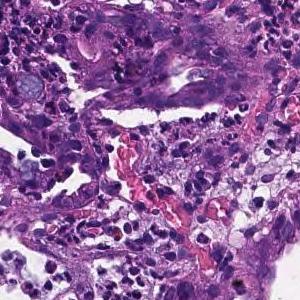
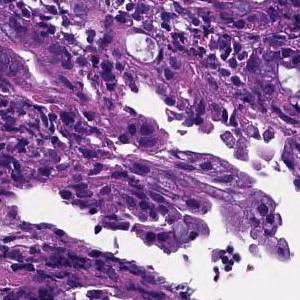
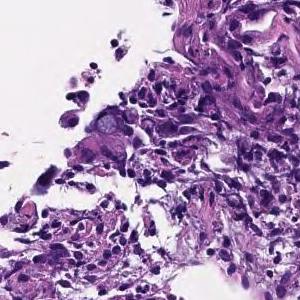
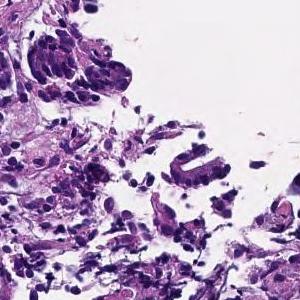
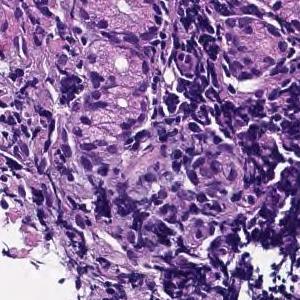
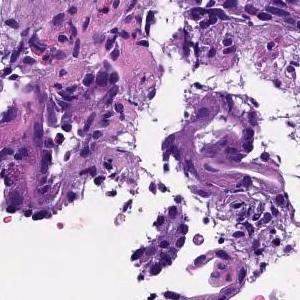
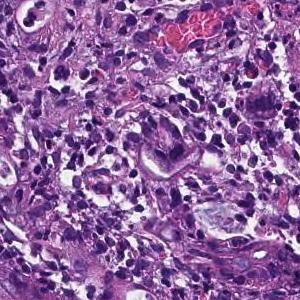
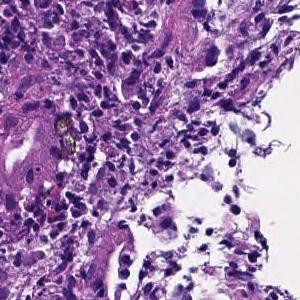
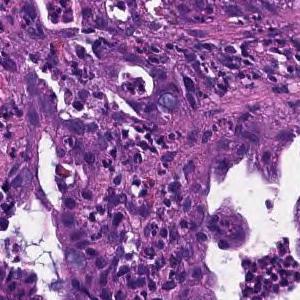
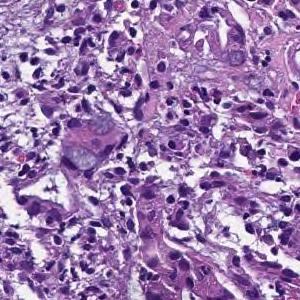
10 image tiles from a single gastric biopsy slide · ×20 · H&E stain.
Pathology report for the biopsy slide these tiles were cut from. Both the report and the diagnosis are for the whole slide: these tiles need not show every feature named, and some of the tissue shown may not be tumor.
In the superficial epithelium, tumor tissue that invades by forming medium-sized to small, irregular ducts is observed. moderately differentiated tubular adenocarcinoma.
